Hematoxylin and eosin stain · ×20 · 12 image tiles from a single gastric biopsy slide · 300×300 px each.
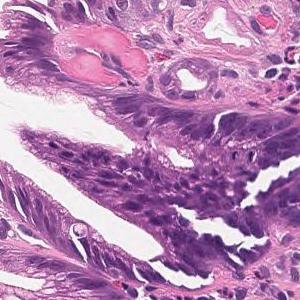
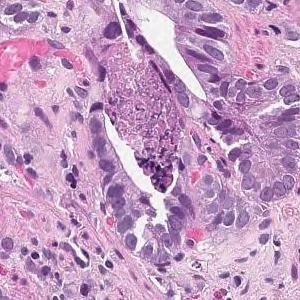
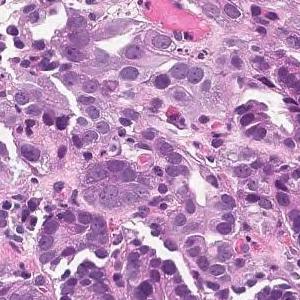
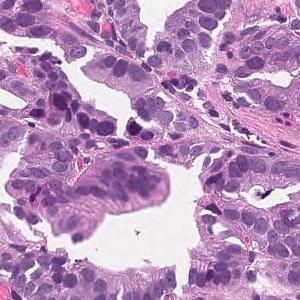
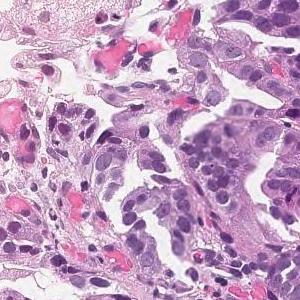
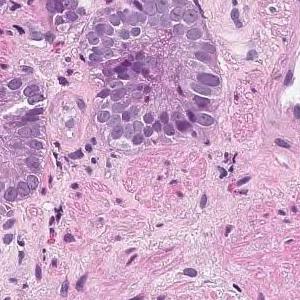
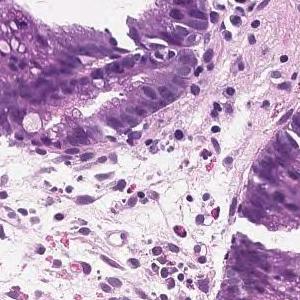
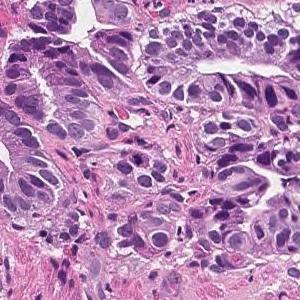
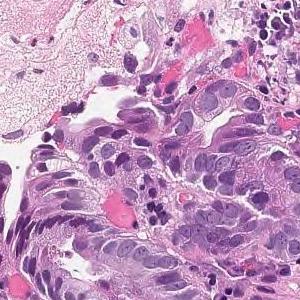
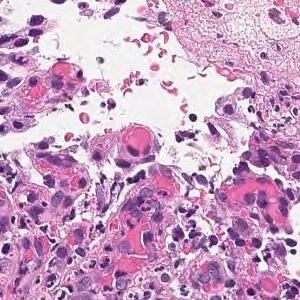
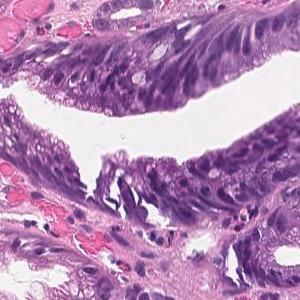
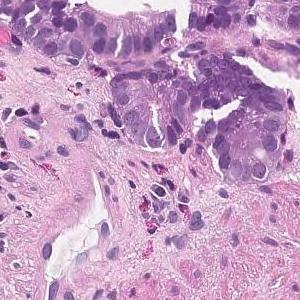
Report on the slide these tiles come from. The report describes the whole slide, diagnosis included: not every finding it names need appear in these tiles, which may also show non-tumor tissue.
From the superficial epithelium to the muscularis mucosae, tumor tissue consisting of medium-sized and irregular glandular ducts infiltrating is observed. Well differentiated tubular adenocarcinoma
